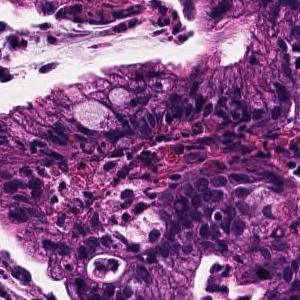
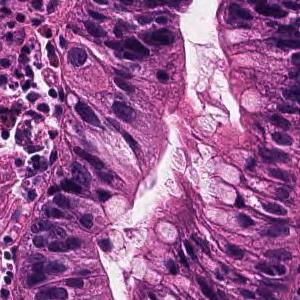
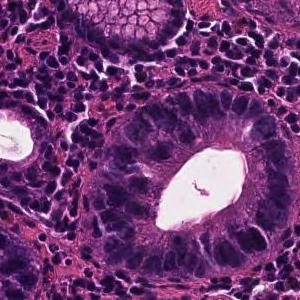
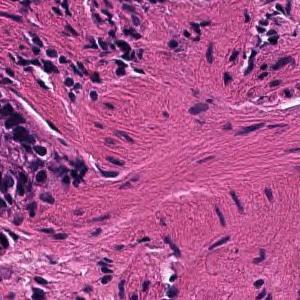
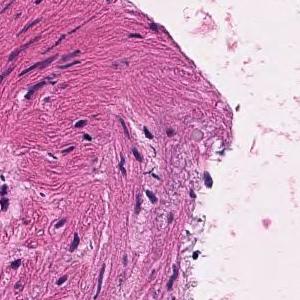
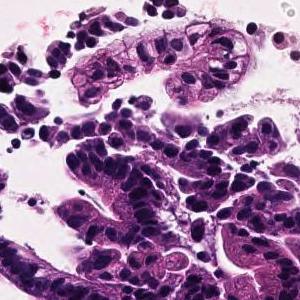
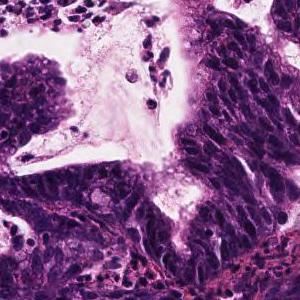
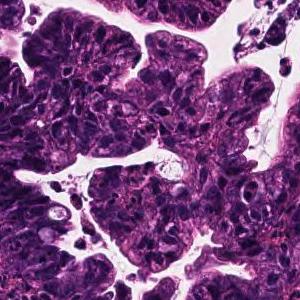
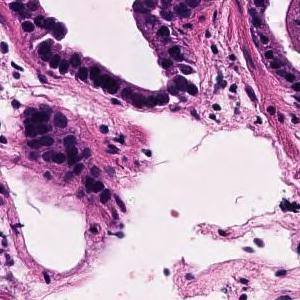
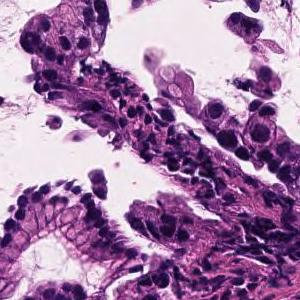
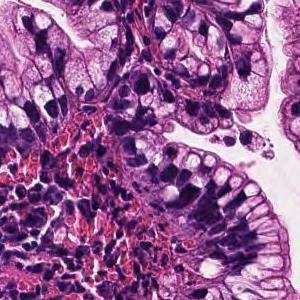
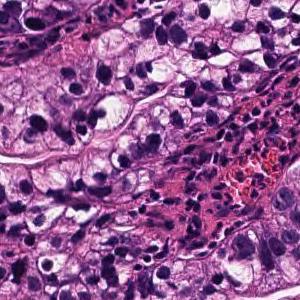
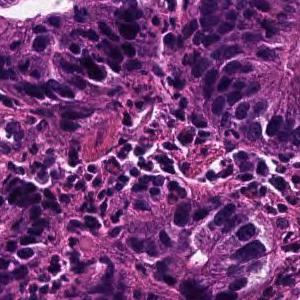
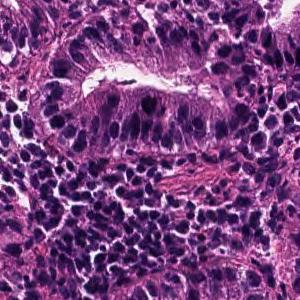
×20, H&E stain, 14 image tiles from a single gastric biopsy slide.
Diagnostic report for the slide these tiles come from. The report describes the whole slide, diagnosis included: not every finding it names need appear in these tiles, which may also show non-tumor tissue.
Tumor cells are large, highly columnar, large club-shaped nuclei, and are associated with chromatin aggregation. Papillary adenocarcinoma.
